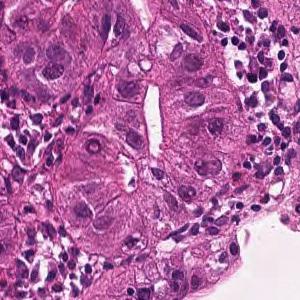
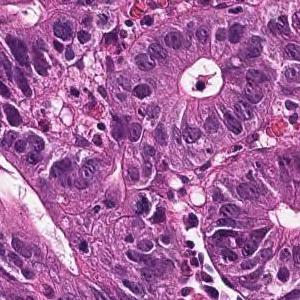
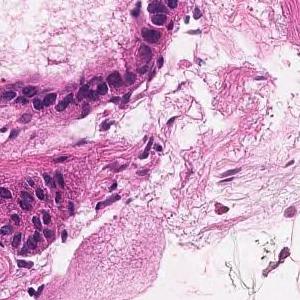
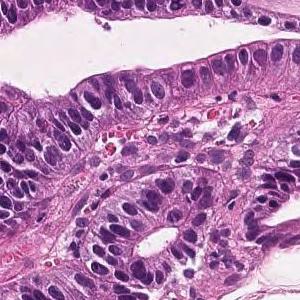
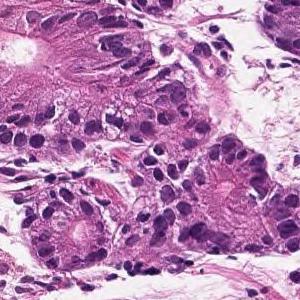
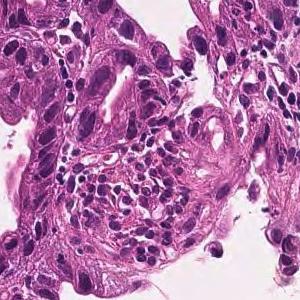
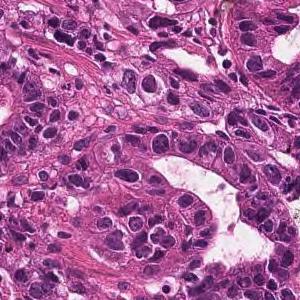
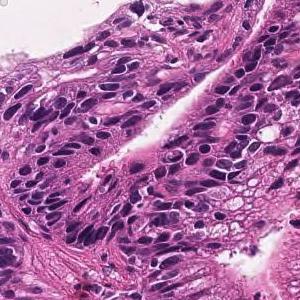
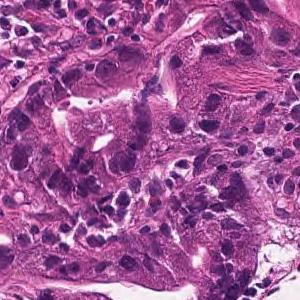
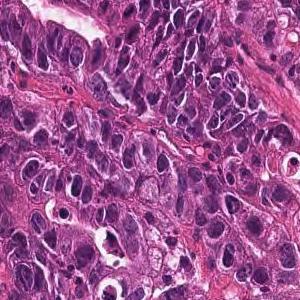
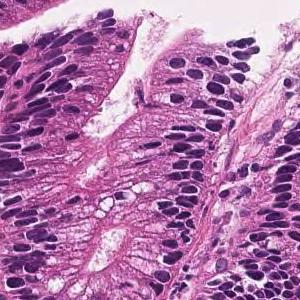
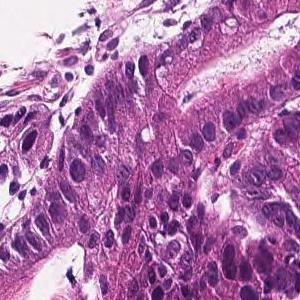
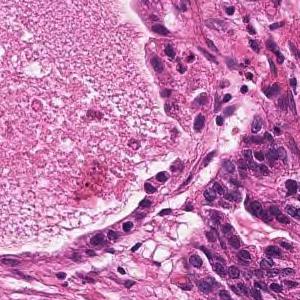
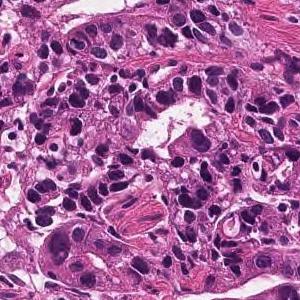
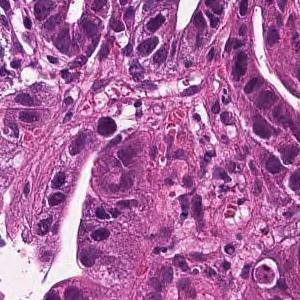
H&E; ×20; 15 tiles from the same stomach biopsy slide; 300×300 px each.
Pathology report for the slide these tiles were cut from. What the report and the diagnosis say applies to the whole slide; these tiles may miss some of the features named and may include tissue that is not tumor.
In the superficial epithelium, tumor tissue that invades by forming medium-sized to small, irregular ducts is observed. moderately differentiated tubular adenocarcinoma.
